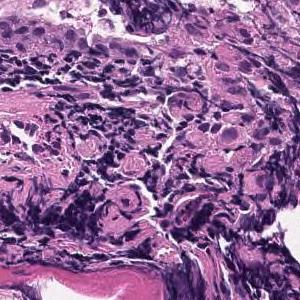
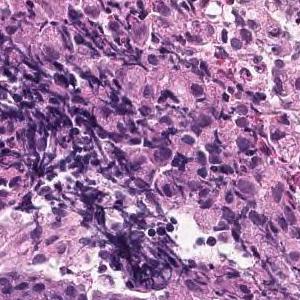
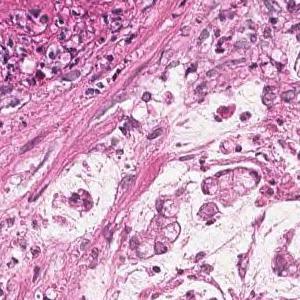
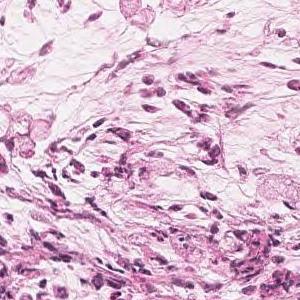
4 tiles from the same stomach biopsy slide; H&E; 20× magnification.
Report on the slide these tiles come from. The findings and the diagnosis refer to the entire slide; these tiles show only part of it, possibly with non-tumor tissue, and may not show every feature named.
Tumor tissue is observed in which atypical epithelial cells with mucus in the vesicles proliferate while being isolated. Signet ring cell carcinoma
